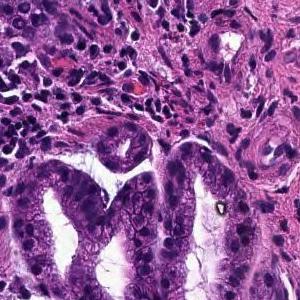
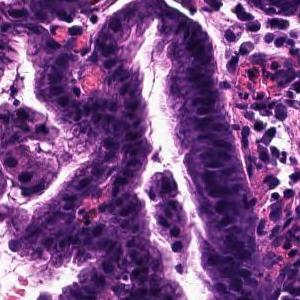
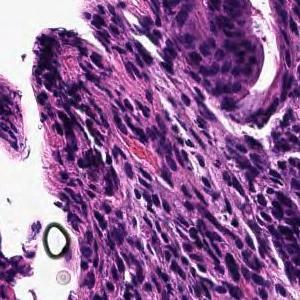
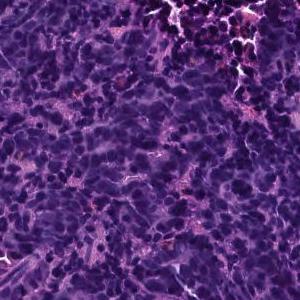
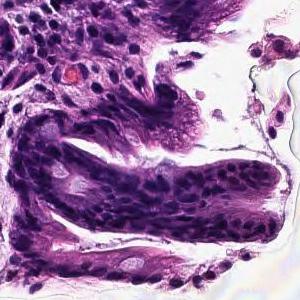
Hematoxylin and eosin stain, 20× magnification, 5 image tiles from a single gastric biopsy slide.
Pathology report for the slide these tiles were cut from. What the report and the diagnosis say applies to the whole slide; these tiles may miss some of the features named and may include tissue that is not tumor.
The superficial epithelium shows a large sheet-like shape, and some tumor tissue infiltrates with small irregular ducts. Poorly differentiated adenocarcinoma, solid-type
Histologic type: Poorly differentiated adenocarcinoma, solid type, a category of the Japanese Classification of Gastric Carcinoma; in the WHO 2019 classification it is tubular adenocarcinoma, poorly differentiated.
